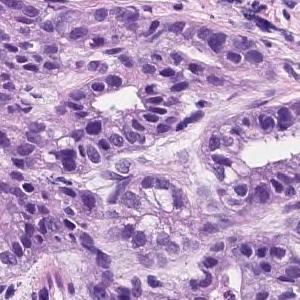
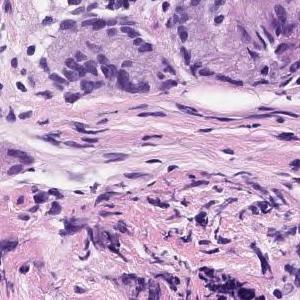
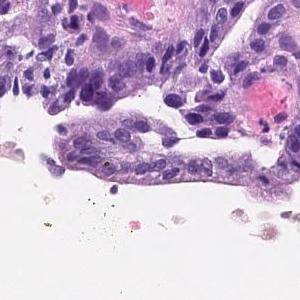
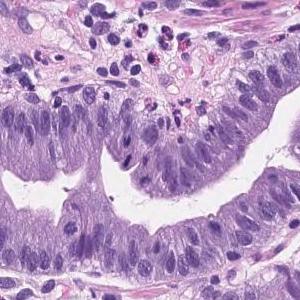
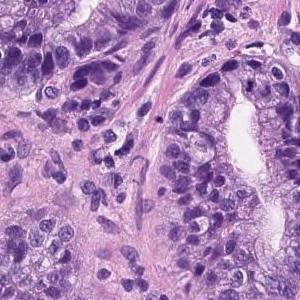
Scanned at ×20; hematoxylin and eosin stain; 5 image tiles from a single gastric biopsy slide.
Diagnostic report for the slide these tiles come from. The report and the diagnosis cover the entire slide, so not every feature they name need be visible here, and some tissue shown may not be tumor.
Tumor tissue consisting of medium-sized and irregular ducts is observed infiltrating in the superficial epithelium. Tumor cells are highly columnar, with nuclei aligned basolaterally and polarized. Well differentiated tubular adenocarcinoma.
